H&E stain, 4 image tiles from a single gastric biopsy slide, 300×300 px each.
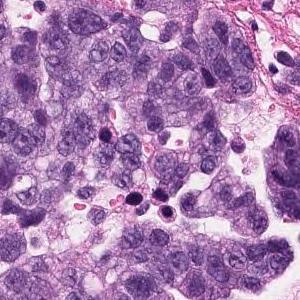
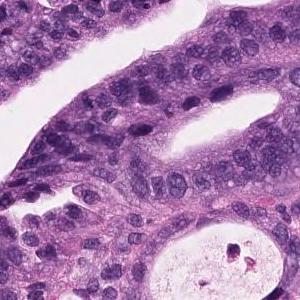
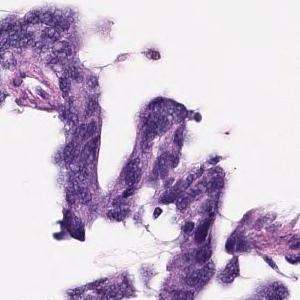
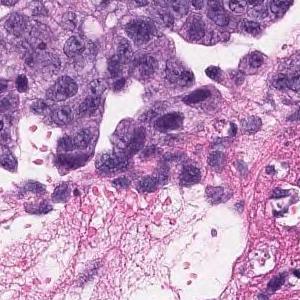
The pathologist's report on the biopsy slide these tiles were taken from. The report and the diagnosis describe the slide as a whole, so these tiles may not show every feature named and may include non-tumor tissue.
Tumor cells are large, highly columnar, large club-shaped nuclei, and are associated with chromatin aggregation. Papillary adenocarcinoma.
